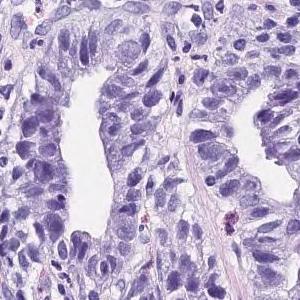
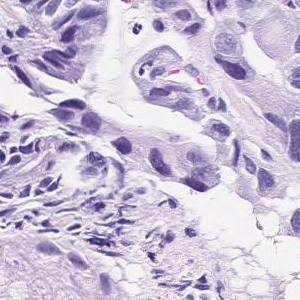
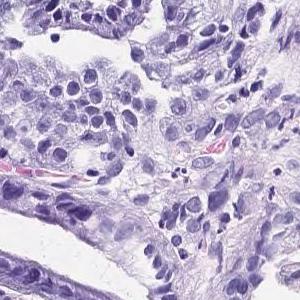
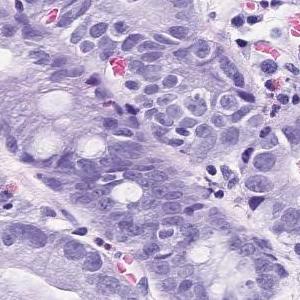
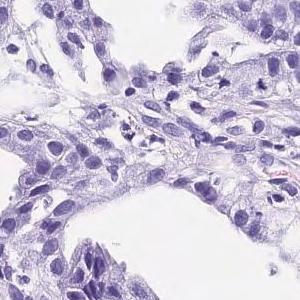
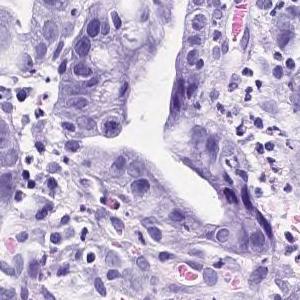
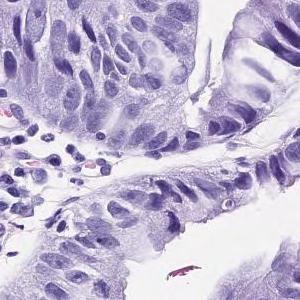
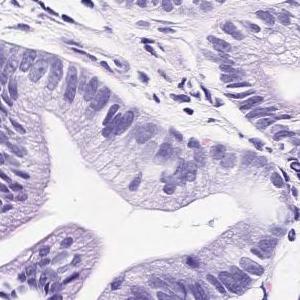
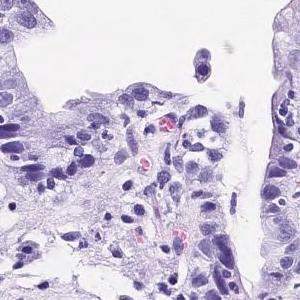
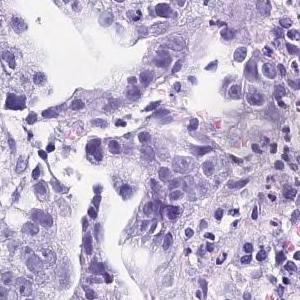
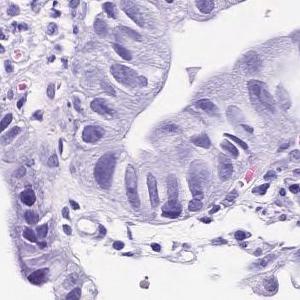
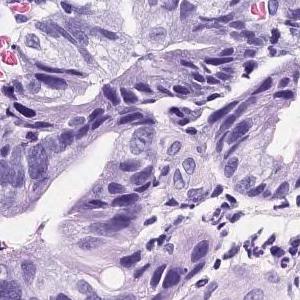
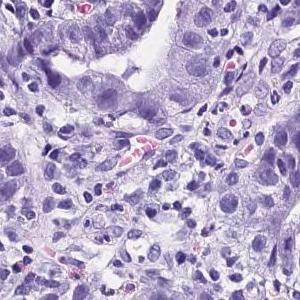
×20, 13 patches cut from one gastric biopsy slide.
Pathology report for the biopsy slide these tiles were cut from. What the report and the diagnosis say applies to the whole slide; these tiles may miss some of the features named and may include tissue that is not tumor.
Tumor tissue consisting of medium-sized and irregular ducts is observed infiltrating in the superficial epithelium. Tumor cells are highly columnar, with nuclei aligned basolaterally and polarized. Well differentiated tubular adenocarcinoma.
